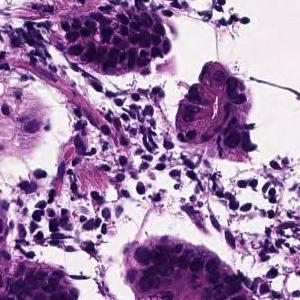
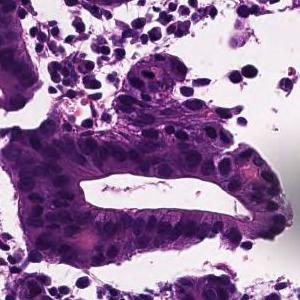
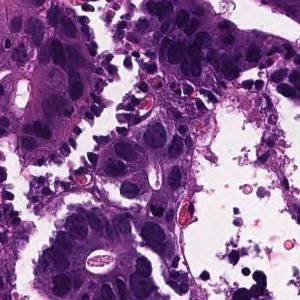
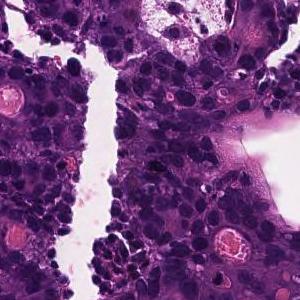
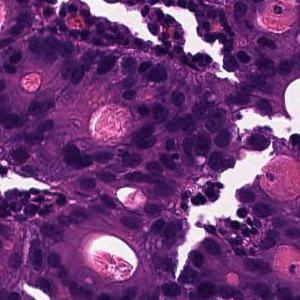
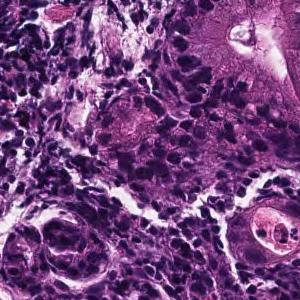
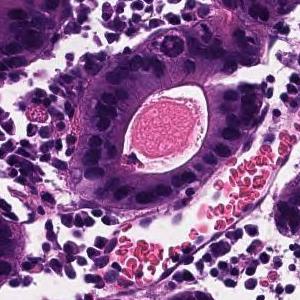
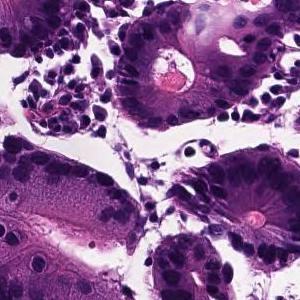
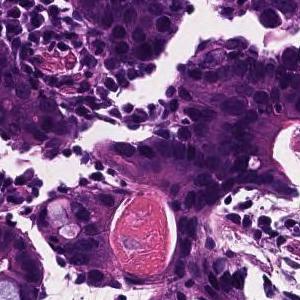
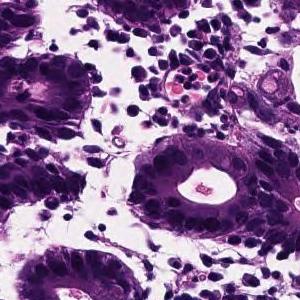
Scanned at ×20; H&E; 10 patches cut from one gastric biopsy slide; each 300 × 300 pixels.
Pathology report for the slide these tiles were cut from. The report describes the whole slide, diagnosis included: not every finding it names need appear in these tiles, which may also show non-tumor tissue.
From the superficial epithelium to the muscularis mucosae, tumor tissue infiltrating by forming medium-sized irregular gland ducts is observed. Large tumor cells exhibit large nucleus and hyperchromatism. Well differentiated tubular adenocarcinoma
